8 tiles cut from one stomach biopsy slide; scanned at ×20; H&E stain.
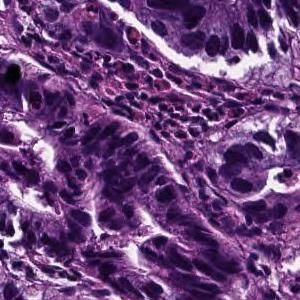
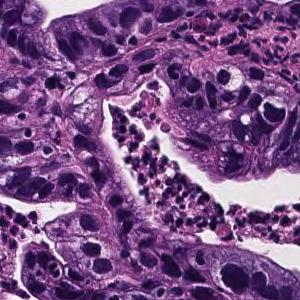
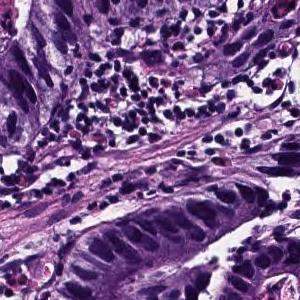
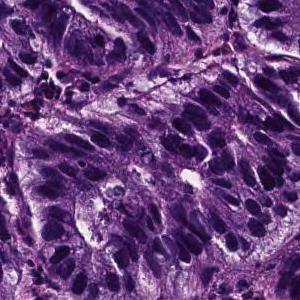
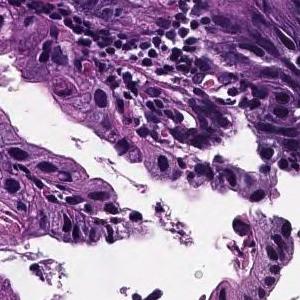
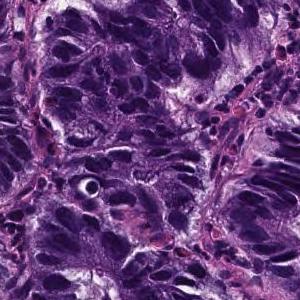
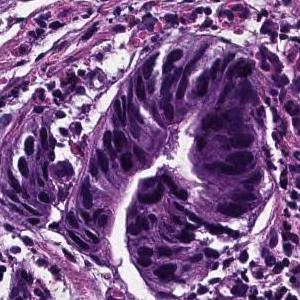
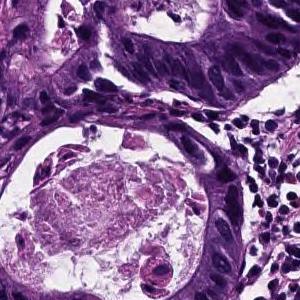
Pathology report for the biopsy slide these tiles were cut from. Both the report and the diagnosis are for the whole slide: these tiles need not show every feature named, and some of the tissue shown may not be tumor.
In the superficial epithelium, tumor tissue that invades by forming medium-sized to small, irregular ducts is observed. Moderately differentiated adenocarcinoma.
Histological subtype: Moderately differentiated tubular adenocarcinoma.
